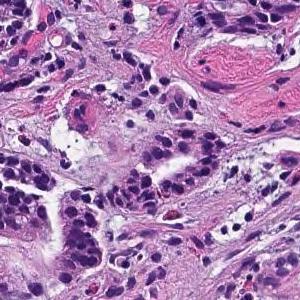
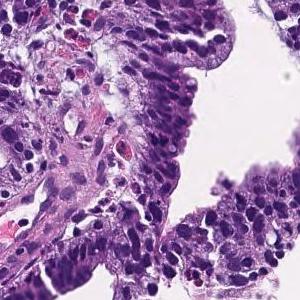
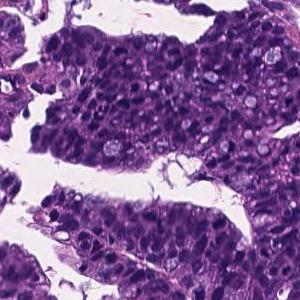
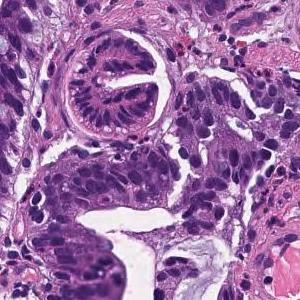
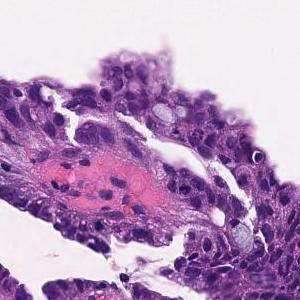
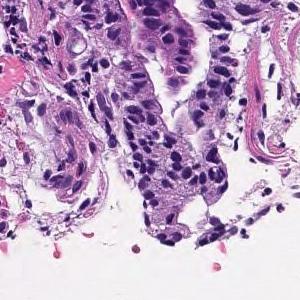
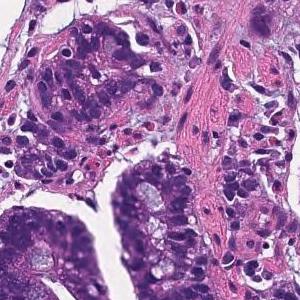
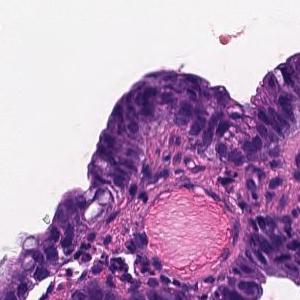
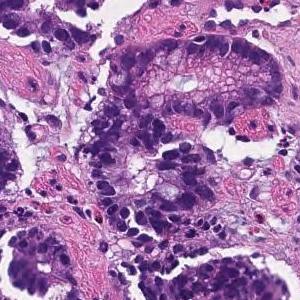
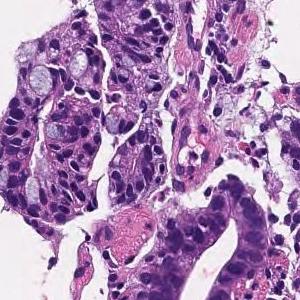
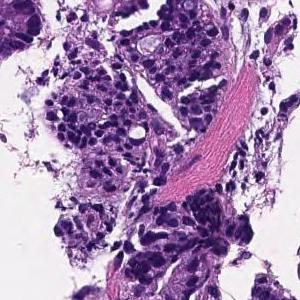
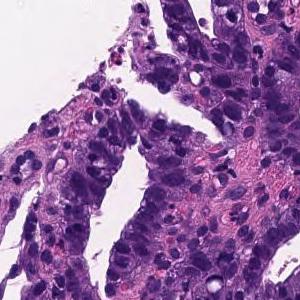
Scanned at ×20 · 12 tiles cut from one stomach biopsy slide · 300 × 300 pixels each.
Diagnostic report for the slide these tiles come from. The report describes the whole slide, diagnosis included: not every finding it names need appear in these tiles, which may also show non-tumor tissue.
Tumor cells are large, highly columnar, large club-shaped nuclei, and are associated with chromatin aggregation. Papillary adenocarcinoma.
